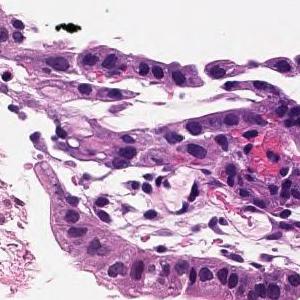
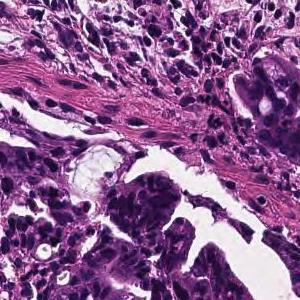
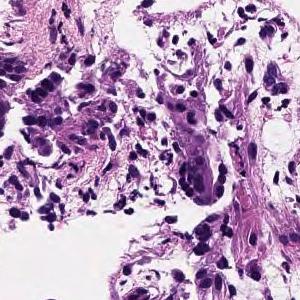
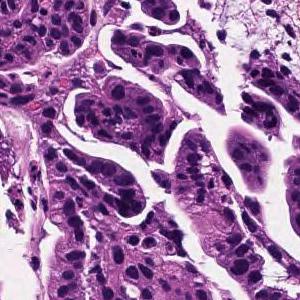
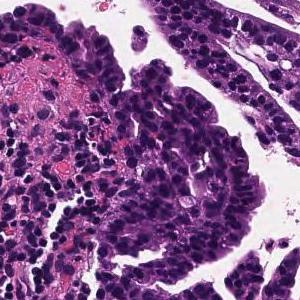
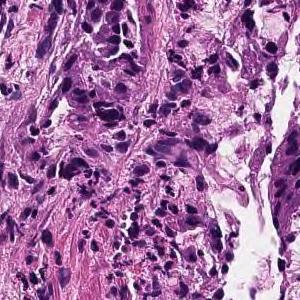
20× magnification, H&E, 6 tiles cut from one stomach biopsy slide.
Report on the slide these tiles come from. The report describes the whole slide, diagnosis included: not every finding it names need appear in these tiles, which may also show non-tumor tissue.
On the superficial epithelium, tumor tissue that infiltrates by forming medium-sized papillary or small irregular ducts is observed. Papillary adenocarcinoma
